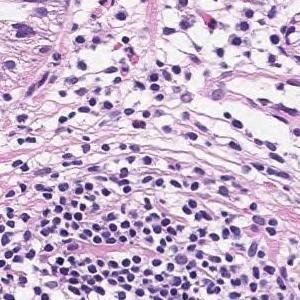
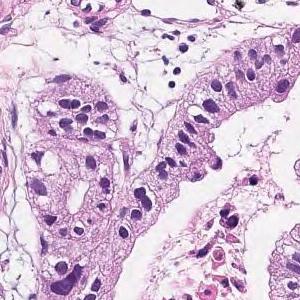
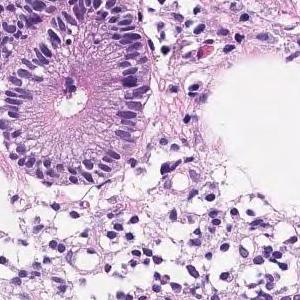
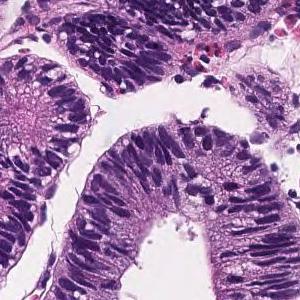
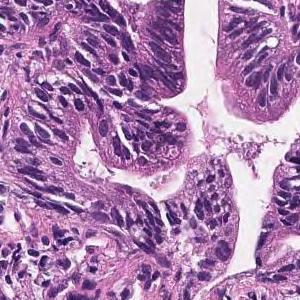
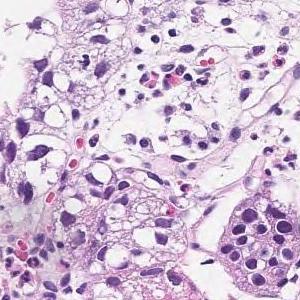
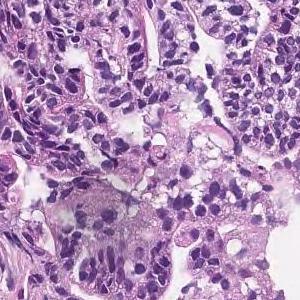
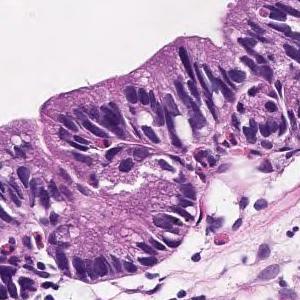
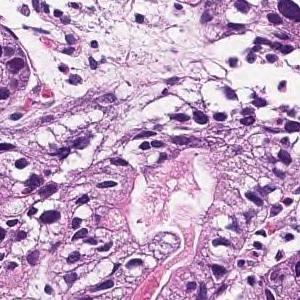
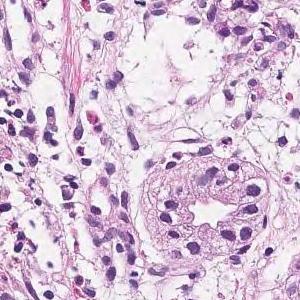
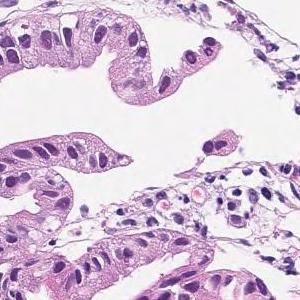
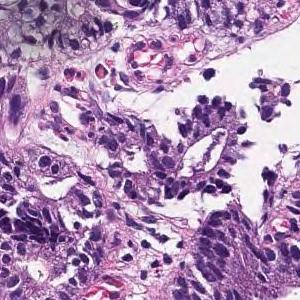
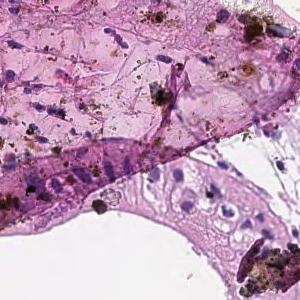
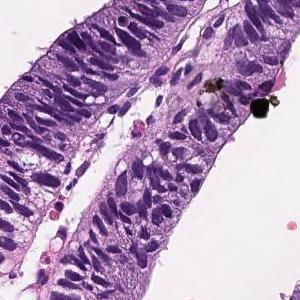
14 tiles from the same stomach biopsy slide; 300×300 px each; H&E; 20× magnification.
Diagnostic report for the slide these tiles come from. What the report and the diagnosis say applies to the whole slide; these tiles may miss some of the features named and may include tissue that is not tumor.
In the superficial epithelium, tumor tissue that invades by forming medium-sized to small, irregular ducts is observed. Moderately differentiated adenocarcinoma.
Histologic type: Moderately differentiated tubular adenocarcinoma.
